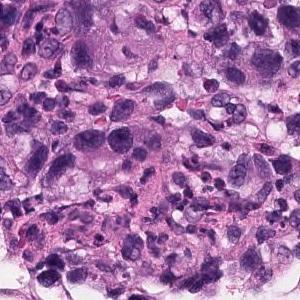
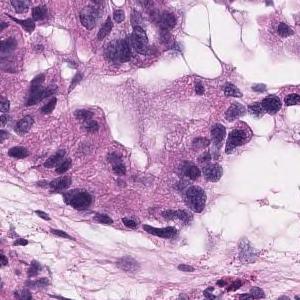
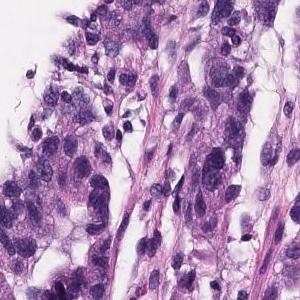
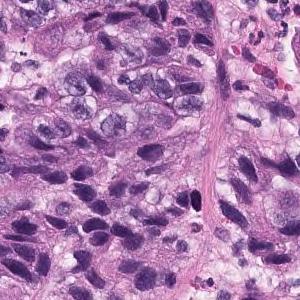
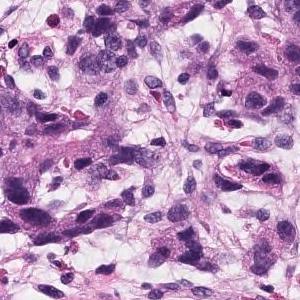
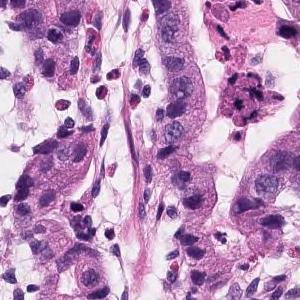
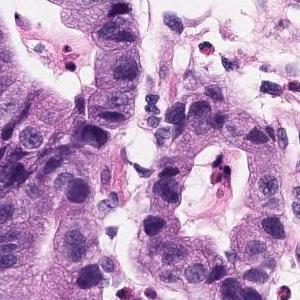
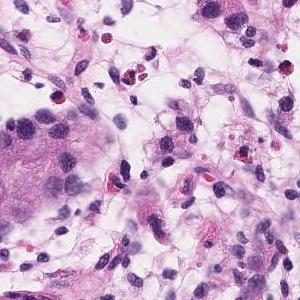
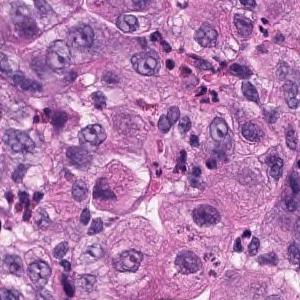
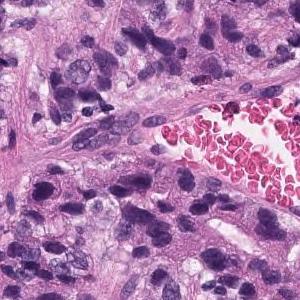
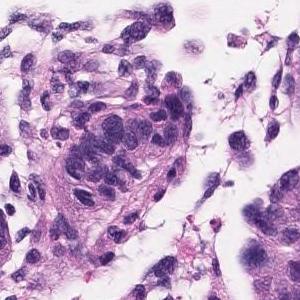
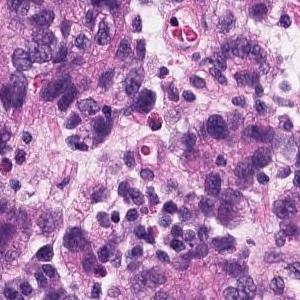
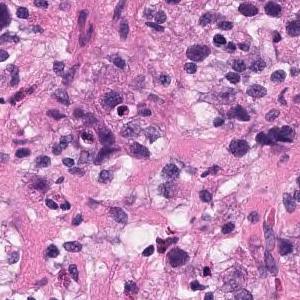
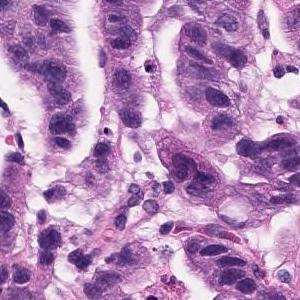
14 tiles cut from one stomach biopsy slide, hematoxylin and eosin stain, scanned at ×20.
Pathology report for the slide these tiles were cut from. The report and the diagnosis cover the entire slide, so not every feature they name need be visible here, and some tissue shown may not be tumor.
Atypical l cells with atypical nuclei forming diffuse or small irregular atypical ducts and growing. Moderately to poorly differentiated adenocarcinoma (poorly differentiated adenocarcinoma, solid type, moderately differentiated tubular adenocarcinoma)
Tumor subtype: moderately to poorly differentiated adenocarcinoma.
"Solid type" is a category of the Japanese Classification of Gastric Carcinoma; in the WHO 2019 classification it is tubular adenocarcinoma, poorly differentiated.
